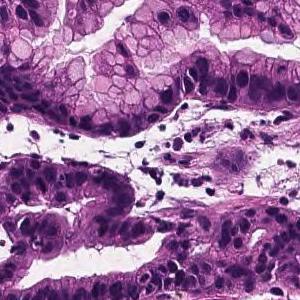
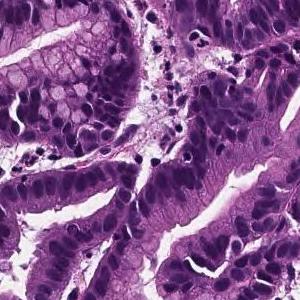
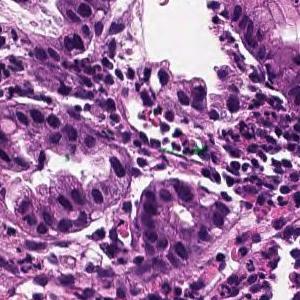
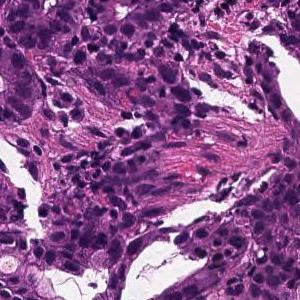
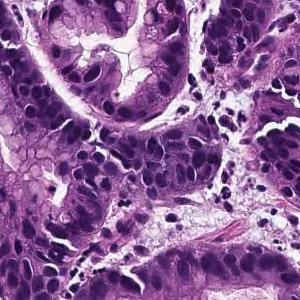
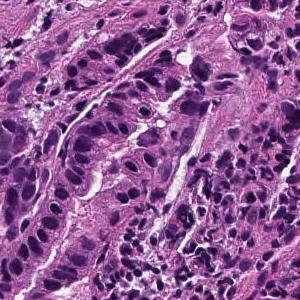
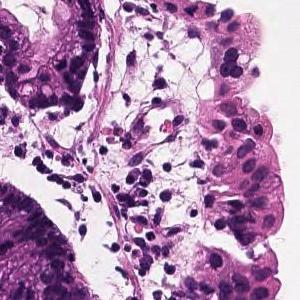
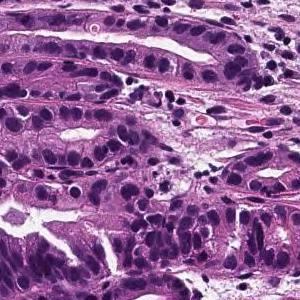
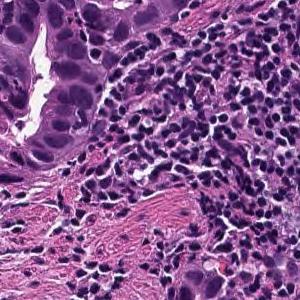
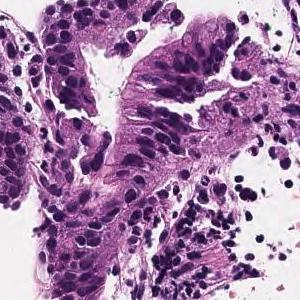
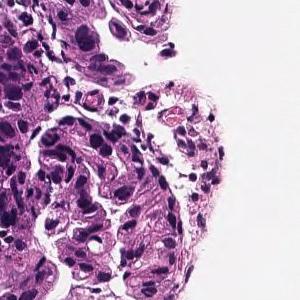
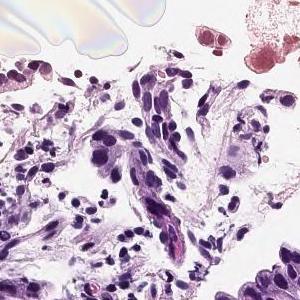
Scanned at ×20; 12 image tiles from a single gastric biopsy slide.
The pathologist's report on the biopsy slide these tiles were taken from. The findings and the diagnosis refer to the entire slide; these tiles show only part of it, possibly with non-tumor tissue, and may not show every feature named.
Tumor cells are large, highly columnar, large club-shaped nuclei, and are associated with chromatin aggregation. Papillary adenocarcinoma.
